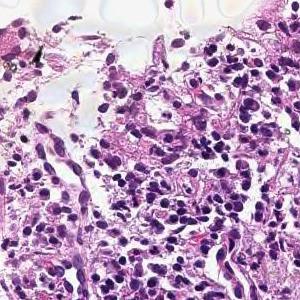
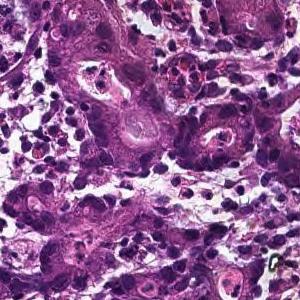
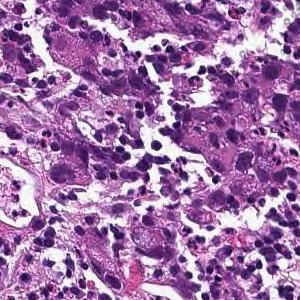
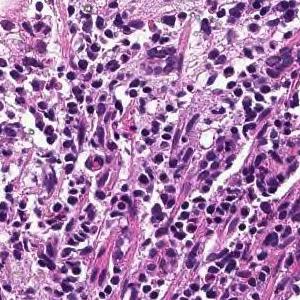
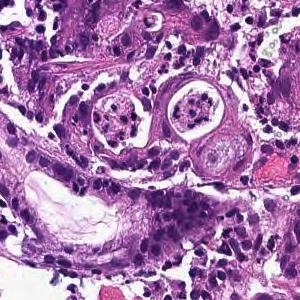
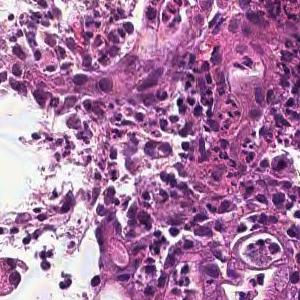
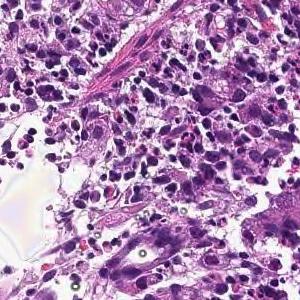
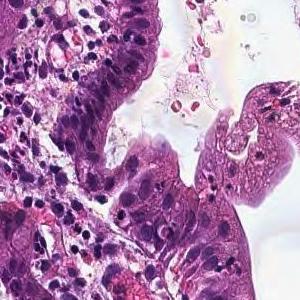
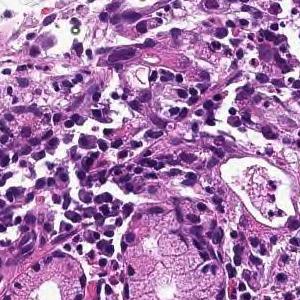
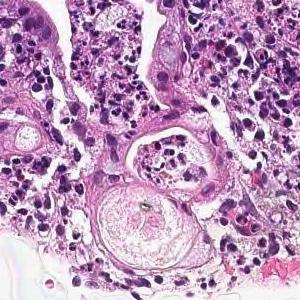
10 tiles cut from one stomach biopsy slide; each 300 × 300 pixels; 20× magnification; hematoxylin and eosin stain.
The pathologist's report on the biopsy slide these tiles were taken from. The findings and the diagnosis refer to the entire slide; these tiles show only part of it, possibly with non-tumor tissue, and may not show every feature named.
In the superficial epithelium, tumor tissue that invades by forming medium-sized to small, irregular ducts is observed. moderately differentiated tubular adenocarcinoma.
